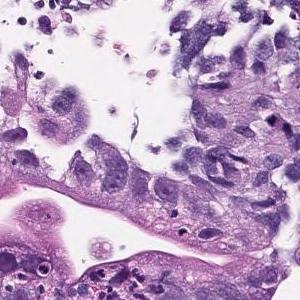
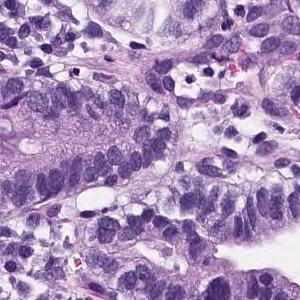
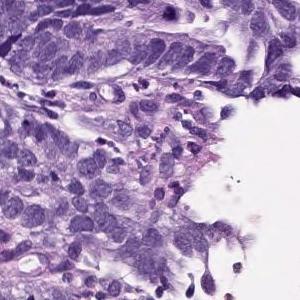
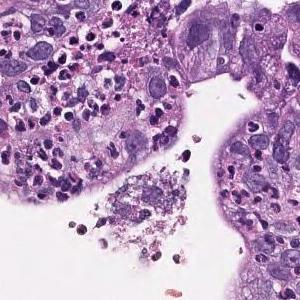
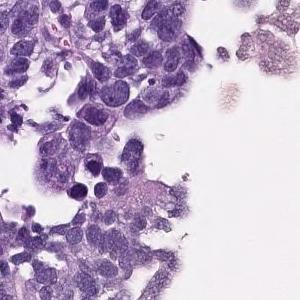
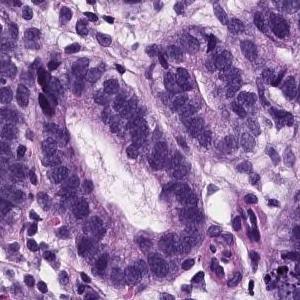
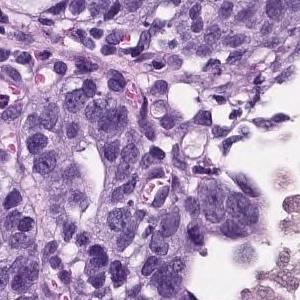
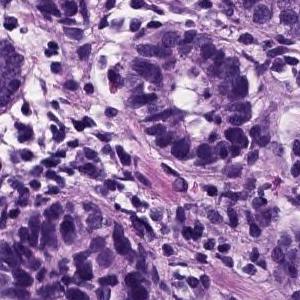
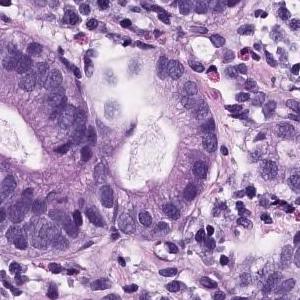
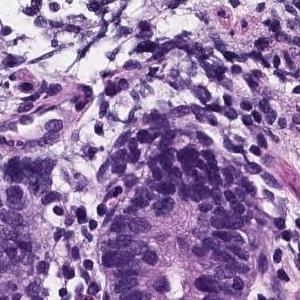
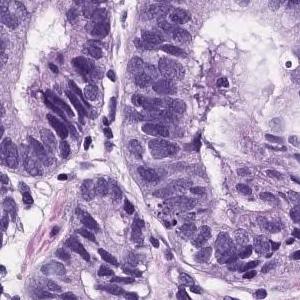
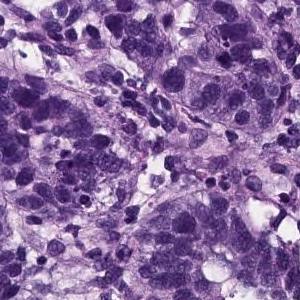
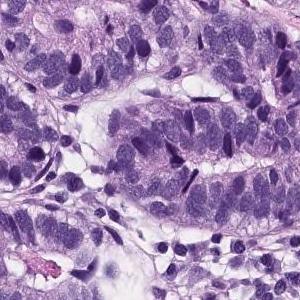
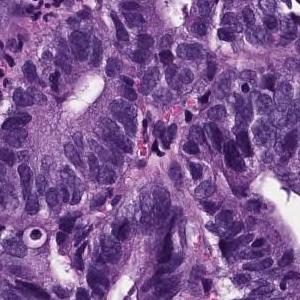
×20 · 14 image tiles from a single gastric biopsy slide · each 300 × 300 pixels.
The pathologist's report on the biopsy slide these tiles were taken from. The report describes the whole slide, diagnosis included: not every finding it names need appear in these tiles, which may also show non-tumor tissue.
On the superficial epithelium, tumor tissue consisting of large, irregular glandular ducts partially fused and infiltrated is observed. Well to moderately differentiated tubular adenocarcinoma (well differentiated tubular adenocarcinoma, moderately differentiated tubular adenocarcinoma)
Labeled in the dataset as well differentiated tubular adenocarcinoma.
